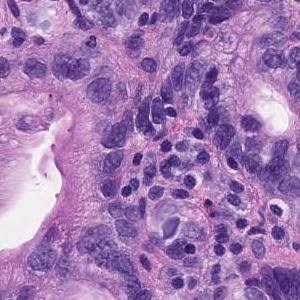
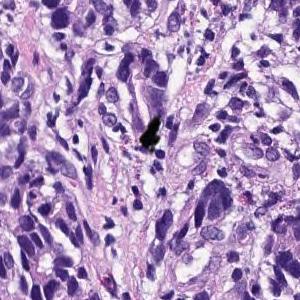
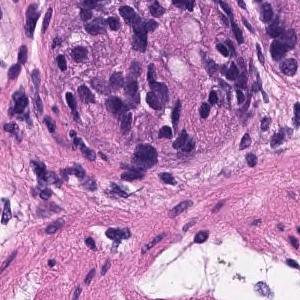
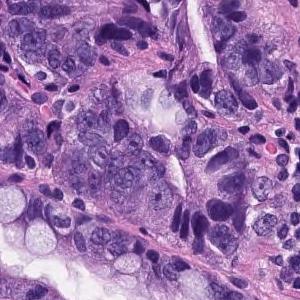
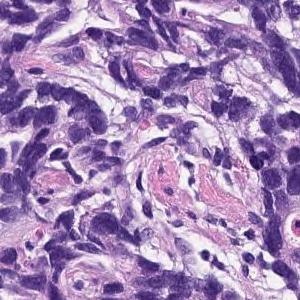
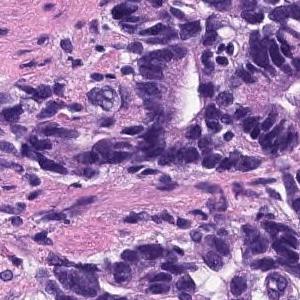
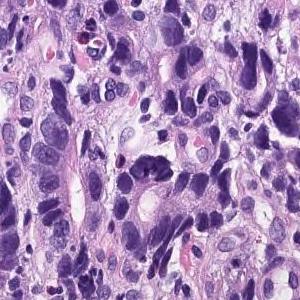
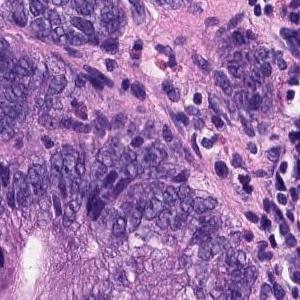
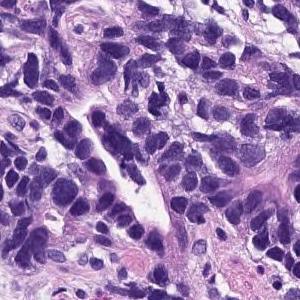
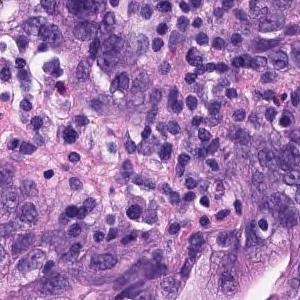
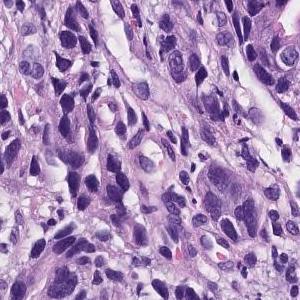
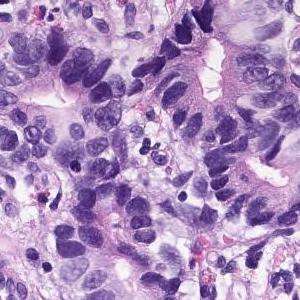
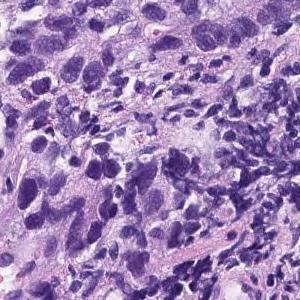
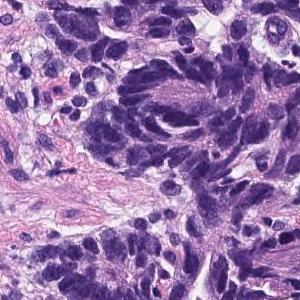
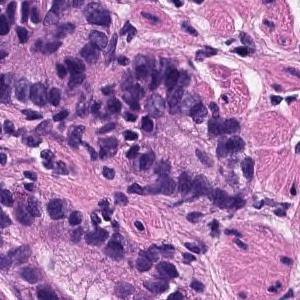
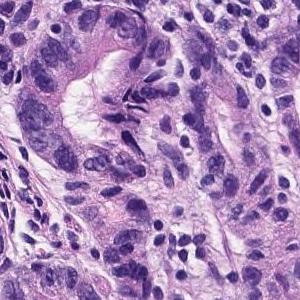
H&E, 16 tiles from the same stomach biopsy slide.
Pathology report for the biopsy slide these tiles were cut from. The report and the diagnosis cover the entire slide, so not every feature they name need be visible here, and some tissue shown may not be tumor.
On the superficial epithelium, tumor tissue consisting of images showing invasive growth with small, irregular tubules partially fused is observed. moderately differentiated tubular adenocarcinoma
